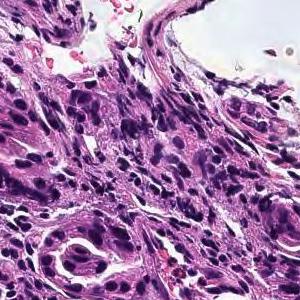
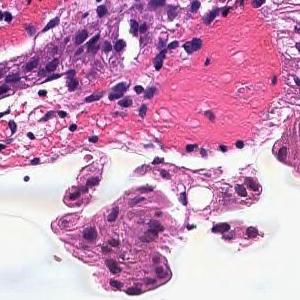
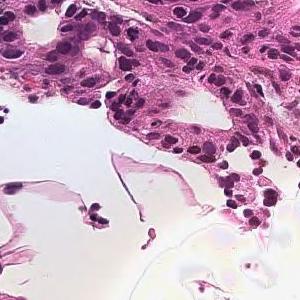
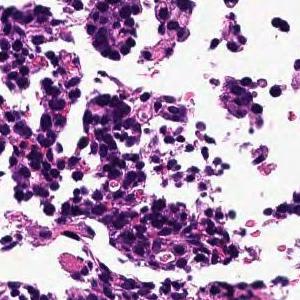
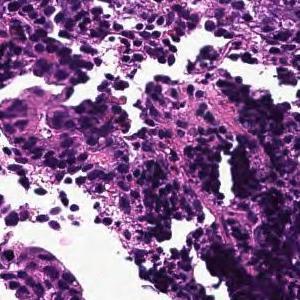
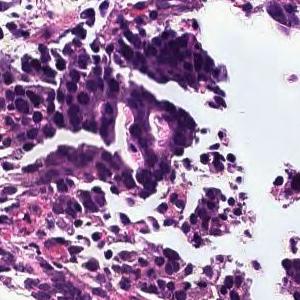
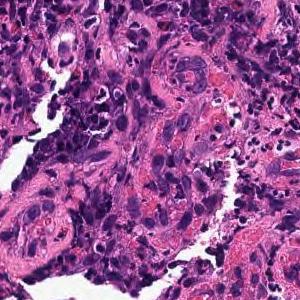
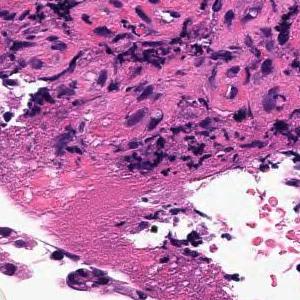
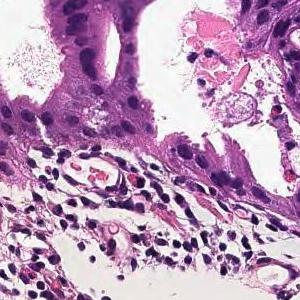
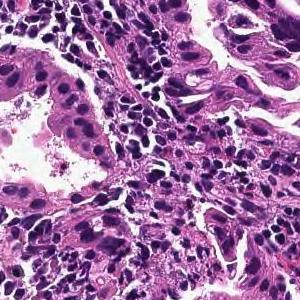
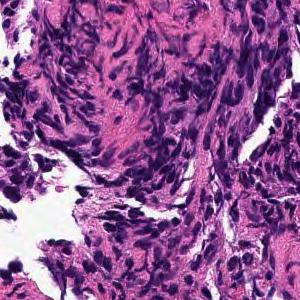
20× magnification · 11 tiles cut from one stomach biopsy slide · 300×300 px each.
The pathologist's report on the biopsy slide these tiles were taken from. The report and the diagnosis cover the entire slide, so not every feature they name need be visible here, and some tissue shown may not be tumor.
In the superficial epithelium, tumor tissue that invades by forming medium-sized to small, irregular ducts is observed. moderately differentiated tubular adenocarcinoma.
